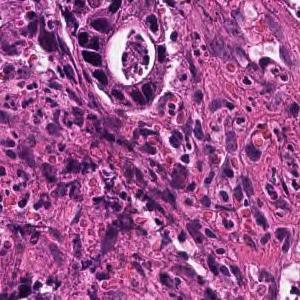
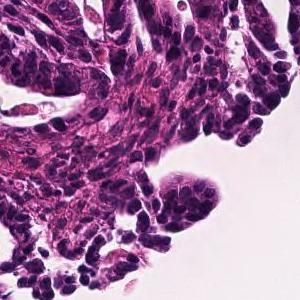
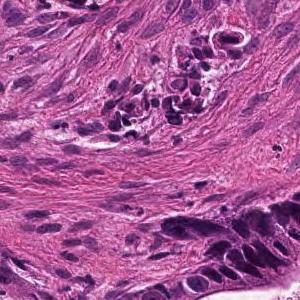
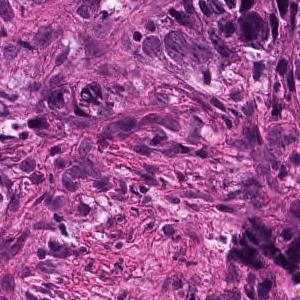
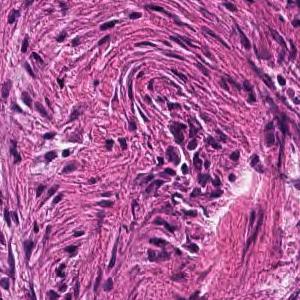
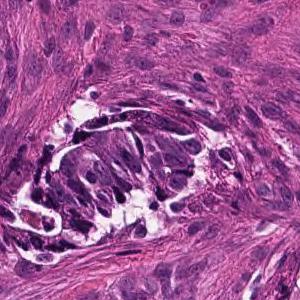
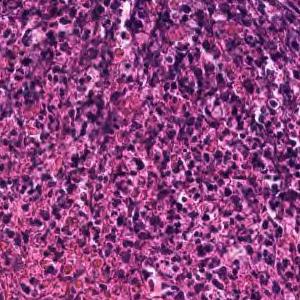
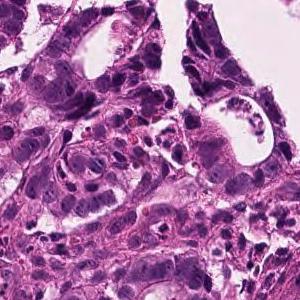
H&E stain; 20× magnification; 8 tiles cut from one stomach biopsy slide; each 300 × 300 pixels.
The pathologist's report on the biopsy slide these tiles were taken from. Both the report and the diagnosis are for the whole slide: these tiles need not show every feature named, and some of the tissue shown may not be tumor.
In the superficial epithelium, tumor tissue that invades by forming medium-sized to small, irregular ducts is observed. moderately differentiated tubular adenocarcinoma.
